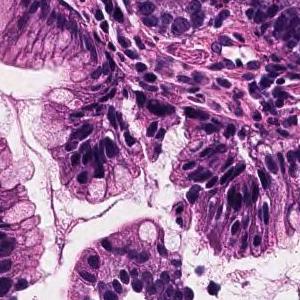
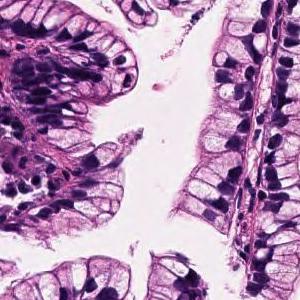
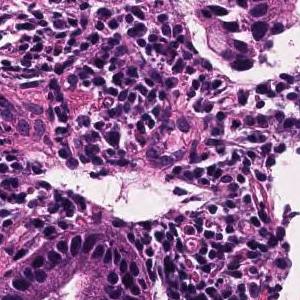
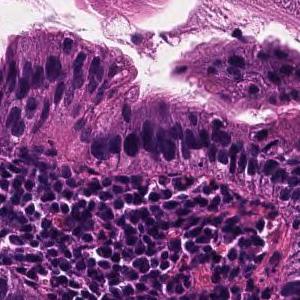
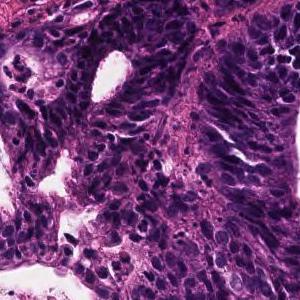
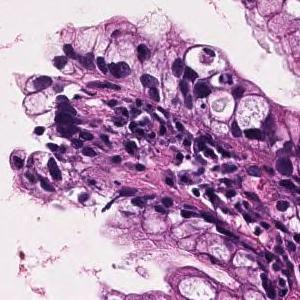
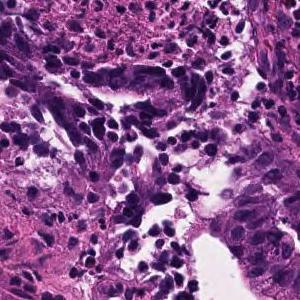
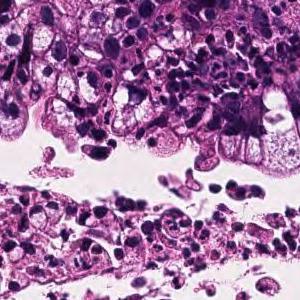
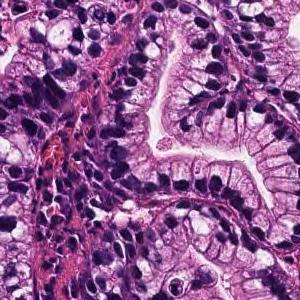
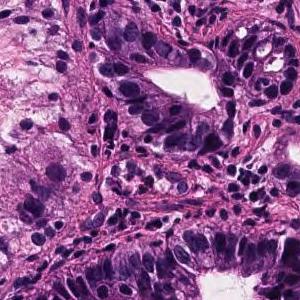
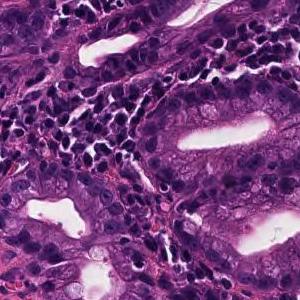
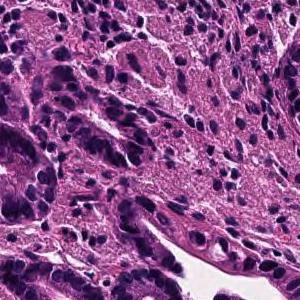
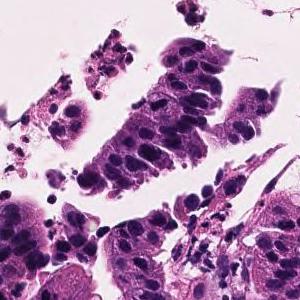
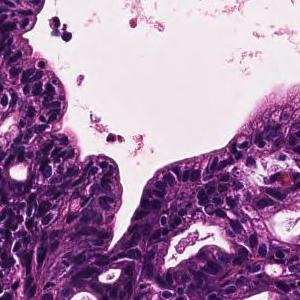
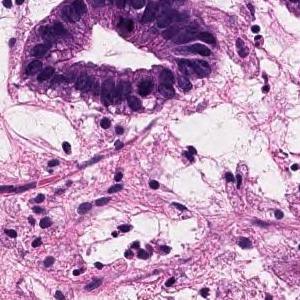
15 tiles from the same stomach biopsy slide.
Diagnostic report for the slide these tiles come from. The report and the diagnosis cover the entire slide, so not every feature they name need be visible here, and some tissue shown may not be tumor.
Tumor cells are large, highly columnar, large club-shaped nuclei, and are associated with chromatin aggregation. Papillary adenocarcinoma.
